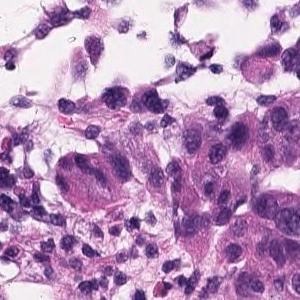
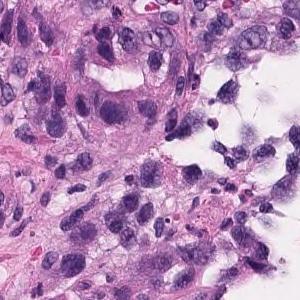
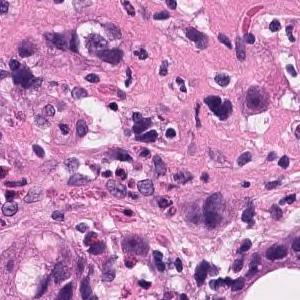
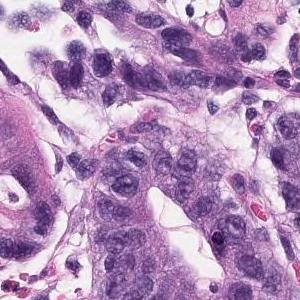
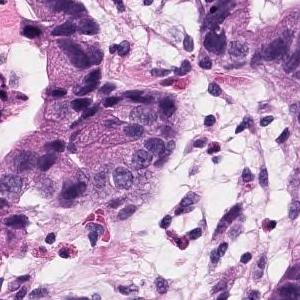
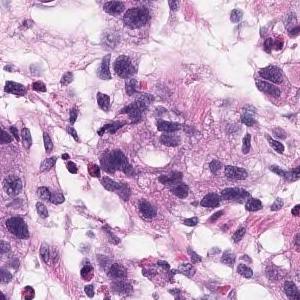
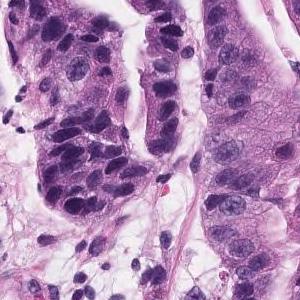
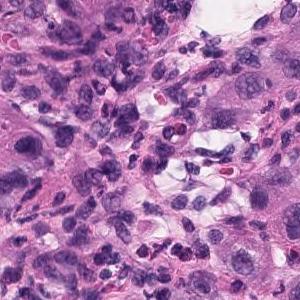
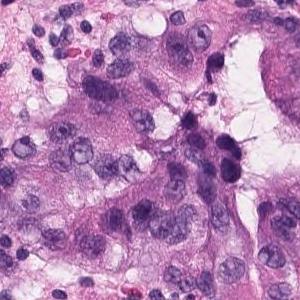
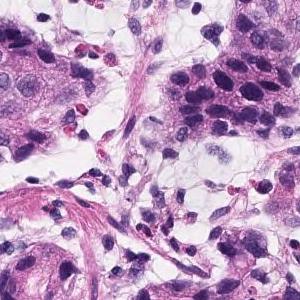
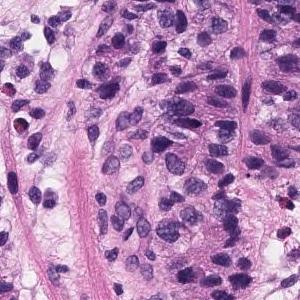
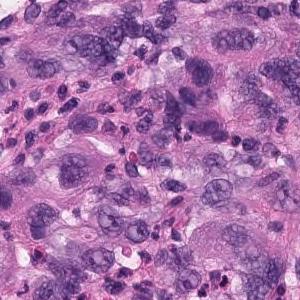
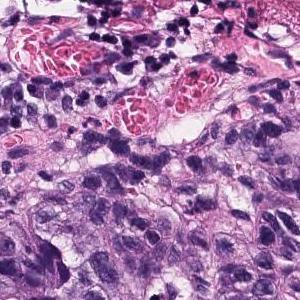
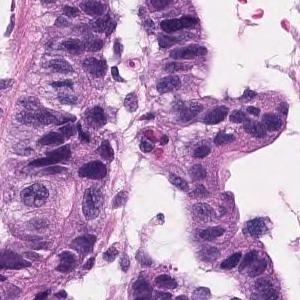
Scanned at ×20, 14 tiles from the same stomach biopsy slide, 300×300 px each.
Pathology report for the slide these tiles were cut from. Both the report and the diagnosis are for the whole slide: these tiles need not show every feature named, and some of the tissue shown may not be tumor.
Atypical l cells with atypical nuclei forming diffuse or small irregular atypical ducts and growing. Moderately to poorly differentiated adenocarcinoma (poorly differentiated adenocarcinoma, solid type, moderately differentiated tubular adenocarcinoma)
Histologic type: Moderately to poorly differentiated adenocarcinoma.
"Solid type" is a category of the Japanese Classification of Gastric Carcinoma; in the WHO 2019 classification it is tubular adenocarcinoma, poorly differentiated.
